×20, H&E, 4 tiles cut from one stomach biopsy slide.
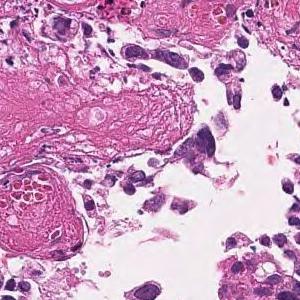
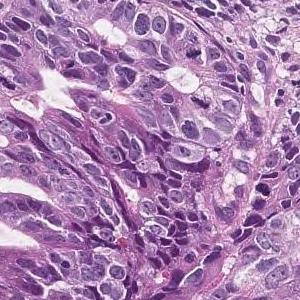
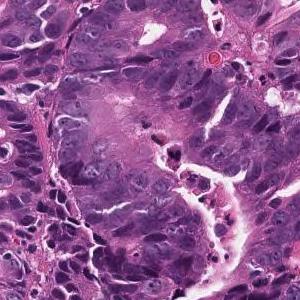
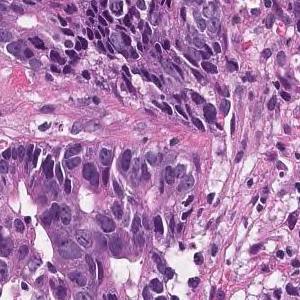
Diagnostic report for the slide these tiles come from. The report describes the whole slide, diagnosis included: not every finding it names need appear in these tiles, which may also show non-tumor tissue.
In the superficial epithelium, tumor tissue that invades by forming medium-sized to small, irregular ducts is observed. moderately differentiated tubular adenocarcinoma.
